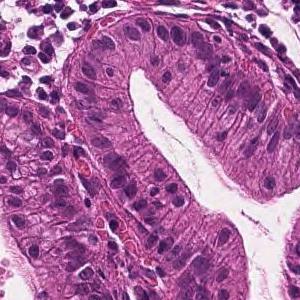
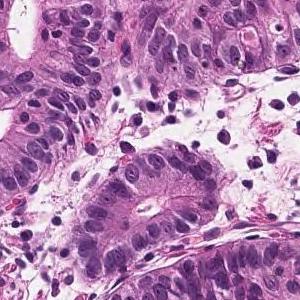
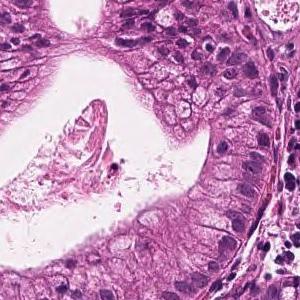
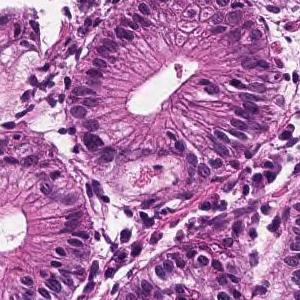
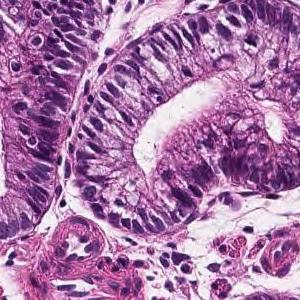
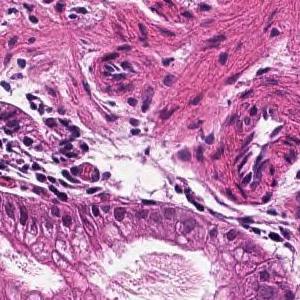
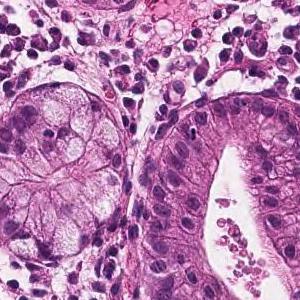
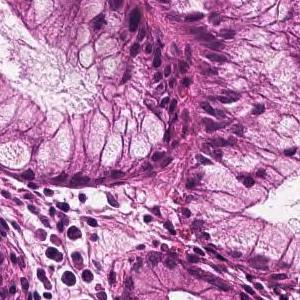
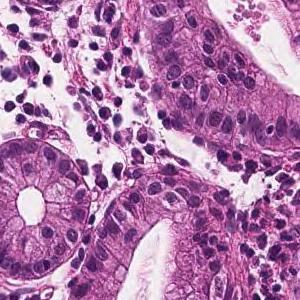
Hematoxylin and eosin stain; 9 tiles cut from one stomach biopsy slide; 300 × 300 pixels each.
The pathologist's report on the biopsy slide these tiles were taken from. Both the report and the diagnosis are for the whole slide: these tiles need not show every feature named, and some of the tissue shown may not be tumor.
In the superficial epithelium, tumor tissue that invades by forming medium-sized to small, irregular ducts is observed. Well differentiated tubular adenocarcinoma.
